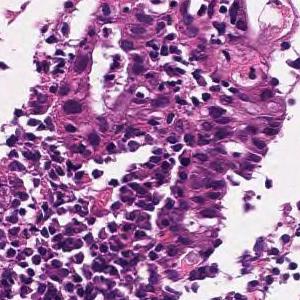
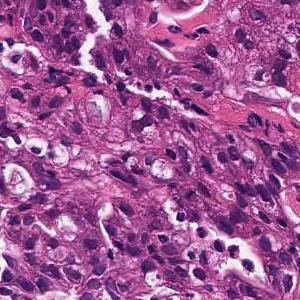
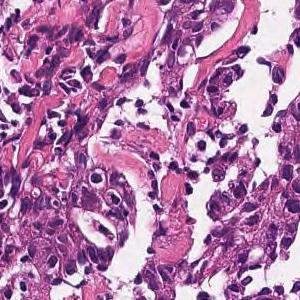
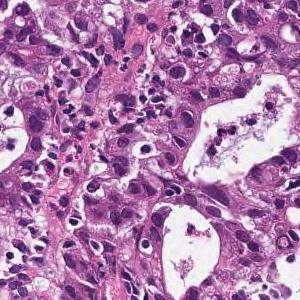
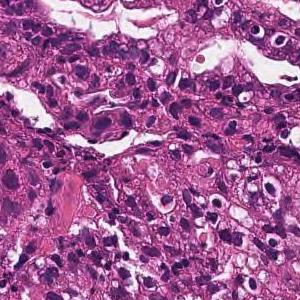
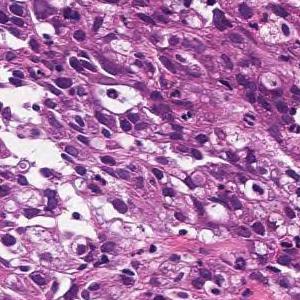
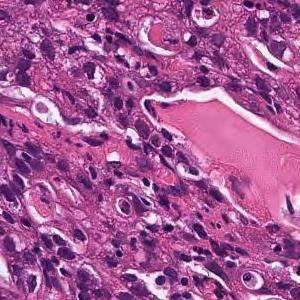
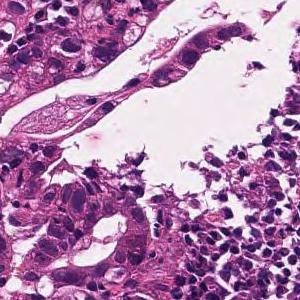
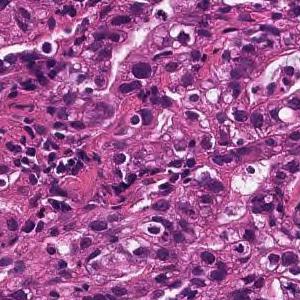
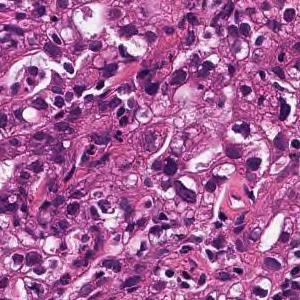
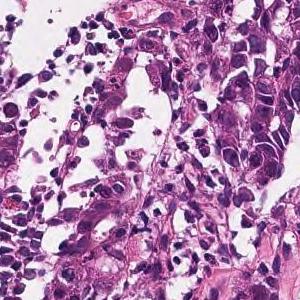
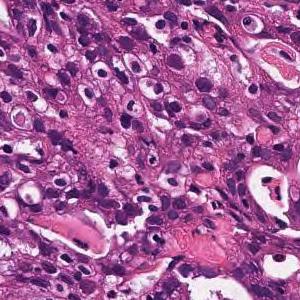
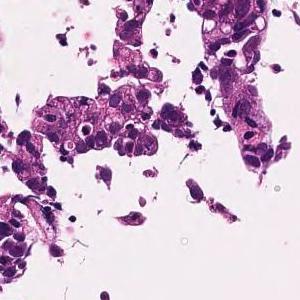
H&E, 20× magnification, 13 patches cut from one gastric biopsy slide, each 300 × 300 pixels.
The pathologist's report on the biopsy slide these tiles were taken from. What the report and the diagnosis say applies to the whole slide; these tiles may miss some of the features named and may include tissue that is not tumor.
Tumor tissue consisting of cord-like or small, irregular glandular ducts fused and infiltrated is observed in the superficial epithelium. Poorly differentiated adenocarcinoma, non-solid type
"Non-solid type" is a category of the Japanese Classification of Gastric Carcinoma.
